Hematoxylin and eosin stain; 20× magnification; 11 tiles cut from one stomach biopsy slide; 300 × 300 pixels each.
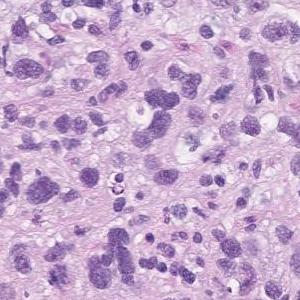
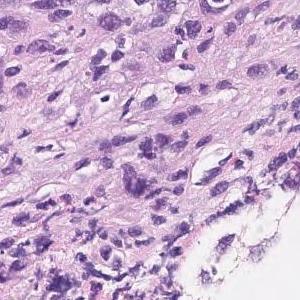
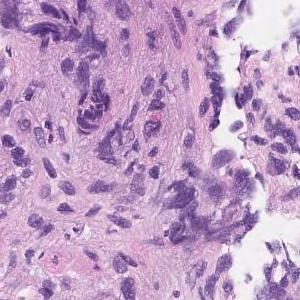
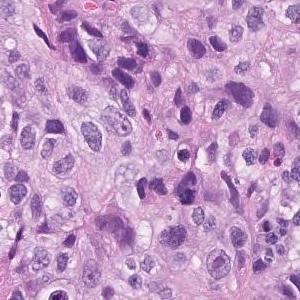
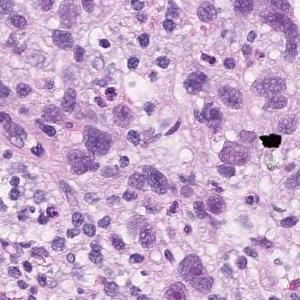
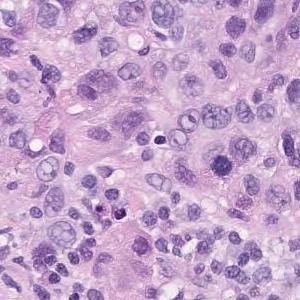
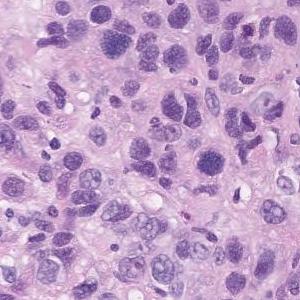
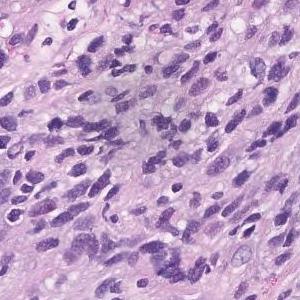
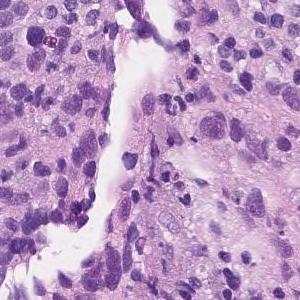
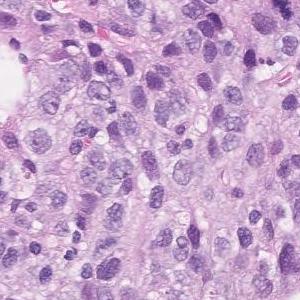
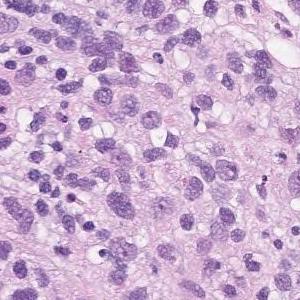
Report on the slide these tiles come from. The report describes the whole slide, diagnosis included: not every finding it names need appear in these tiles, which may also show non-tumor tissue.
Atypical l cells with atypical nuclei under the mucosa growing in isolation and scattered. Poorly differentiated adenocarcinoma (poorly differentiated adenocarcinoma, non-solid type)
Histological subtype: Poorly differentiated adenocarcinoma, non-solid type.
The term "non-solid type" comes from the Japanese Classification of Gastric Carcinoma.
